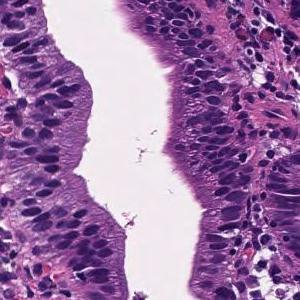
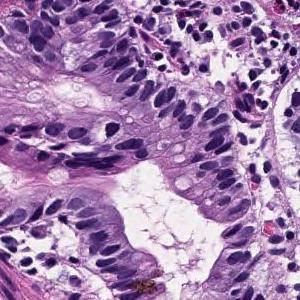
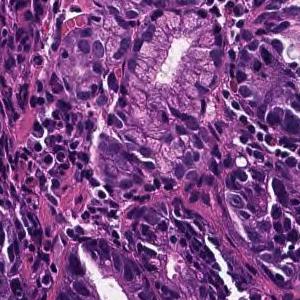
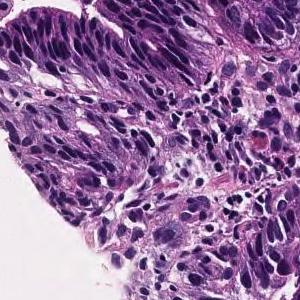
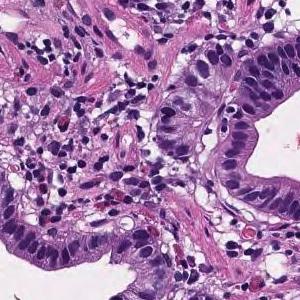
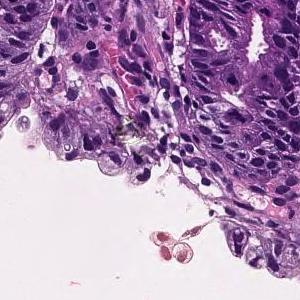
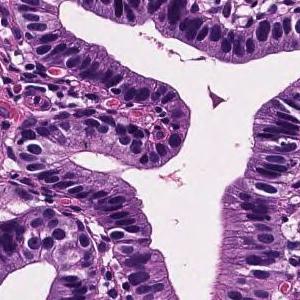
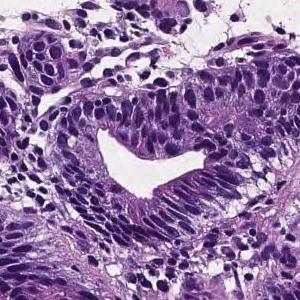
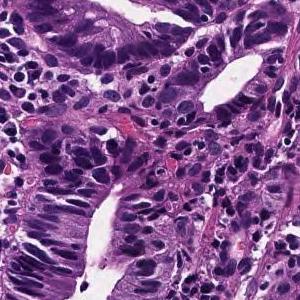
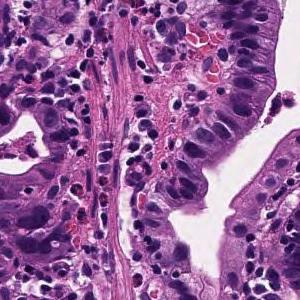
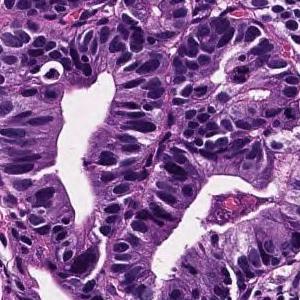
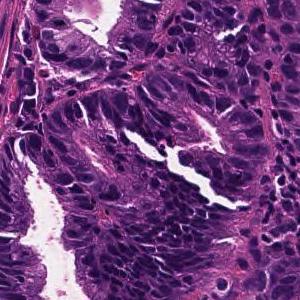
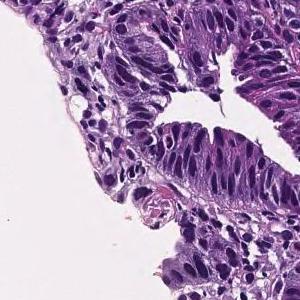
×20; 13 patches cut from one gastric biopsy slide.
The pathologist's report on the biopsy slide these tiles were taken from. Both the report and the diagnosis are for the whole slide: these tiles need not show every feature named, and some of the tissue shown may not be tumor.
In the superficial epithelium, tumor tissue that invades by forming medium-sized to small, irregular ducts is observed. Well differentiated tubular adenocarcinoma.
